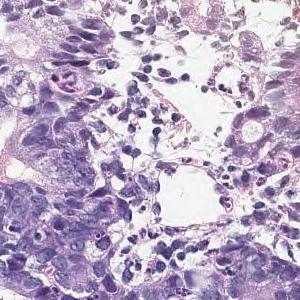
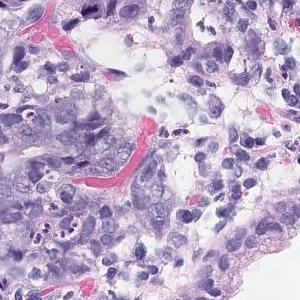
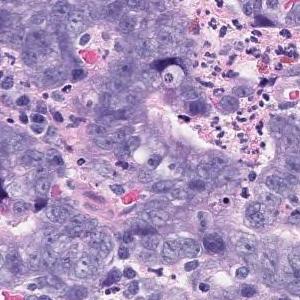
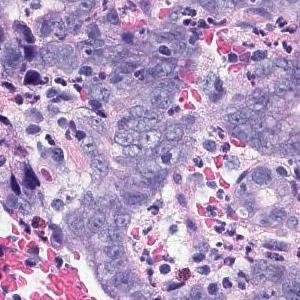
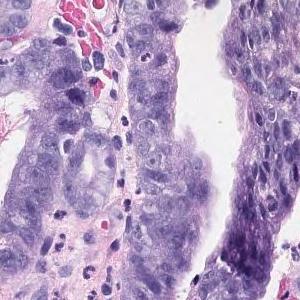
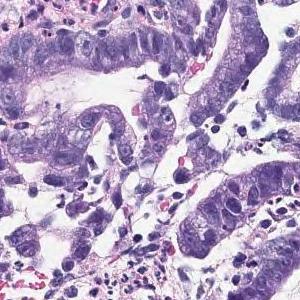
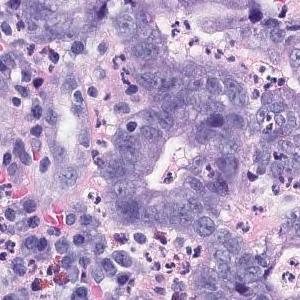
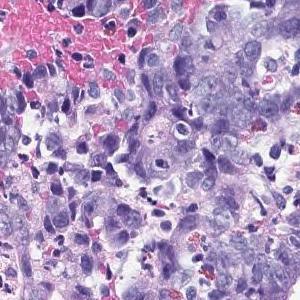
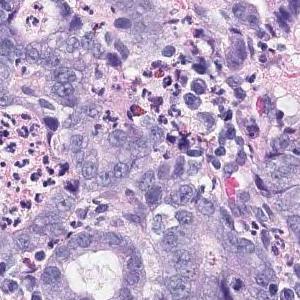
9 image tiles from a single gastric biopsy slide; 300×300 px each; ×20.
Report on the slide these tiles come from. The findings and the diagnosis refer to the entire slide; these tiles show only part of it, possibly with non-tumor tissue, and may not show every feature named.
In the superficial epithelium, tumor tissue that invades by forming medium-sized to small, irregular ducts is observed. Moderately differentiated adenocarcinoma.
Histologic type: Moderately differentiated tubular adenocarcinoma.
